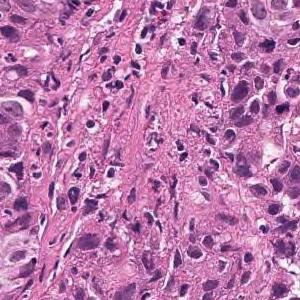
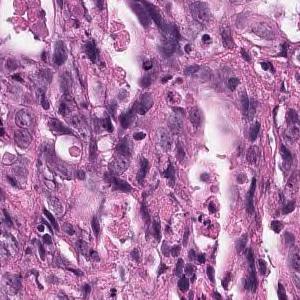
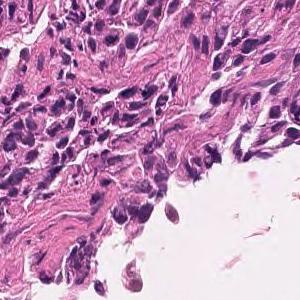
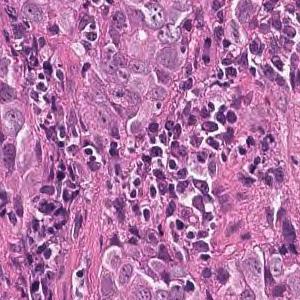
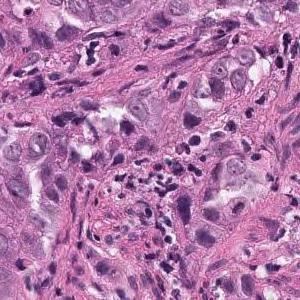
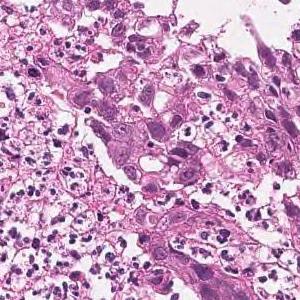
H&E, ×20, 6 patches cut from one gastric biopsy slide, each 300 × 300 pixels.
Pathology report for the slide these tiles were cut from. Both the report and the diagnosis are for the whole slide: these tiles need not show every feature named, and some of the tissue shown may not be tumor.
Tumor tissue that infiltrates and proliferates with alveolar or cord-like structures with small glandular cavities in the superficial to submucosal layers is observed. moderately differentiated tubular adenocarcinoma
